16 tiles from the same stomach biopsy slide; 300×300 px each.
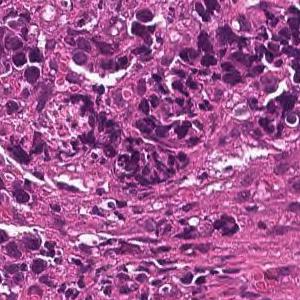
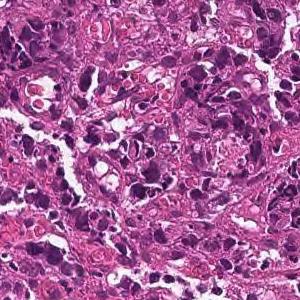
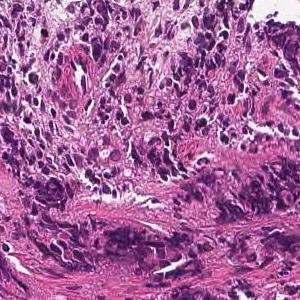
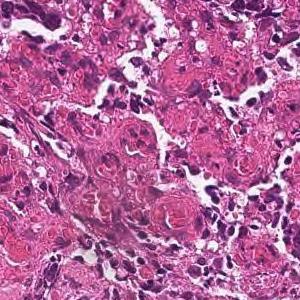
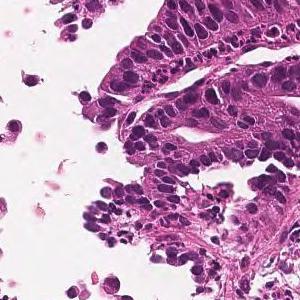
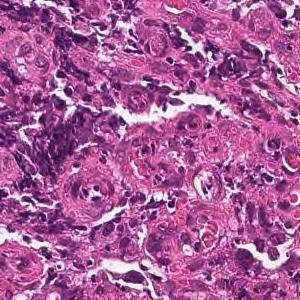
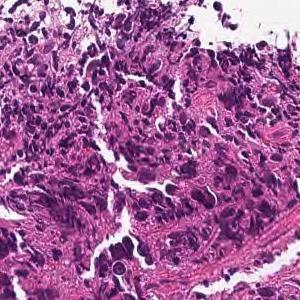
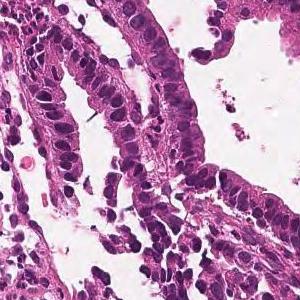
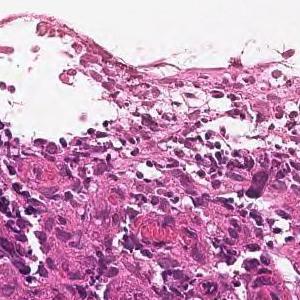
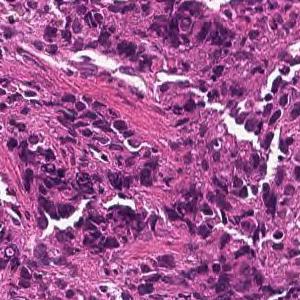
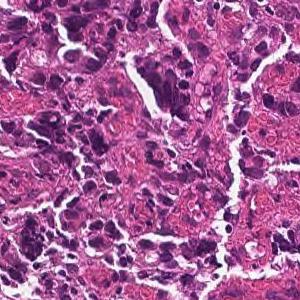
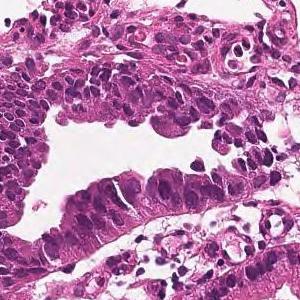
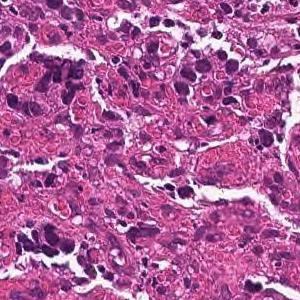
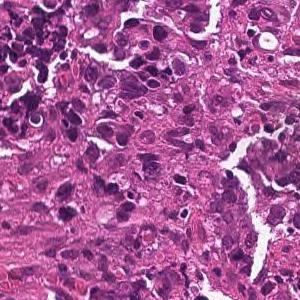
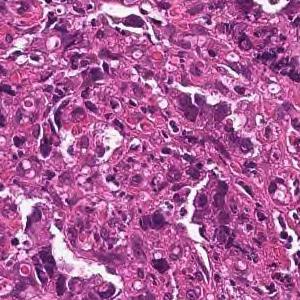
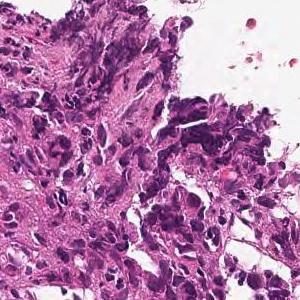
Diagnostic report for the slide these tiles come from. The report and the diagnosis describe the slide as a whole, so these tiles may not show every feature named and may include non-tumor tissue.
Tumor tissue consisting of medium-sized, cord-like or irregular glandular infiltration is observed in the superficial epithelium. Poorly differentiated adenocarcinoma, non-solid type or moderately differentiated tubular adenocarcinoma
Subtype: Moderately to poorly differentiated adenocarcinoma.
"Non-solid type" is a category of the Japanese Classification of Gastric Carcinoma.
